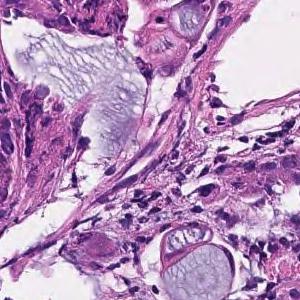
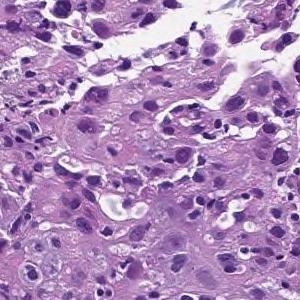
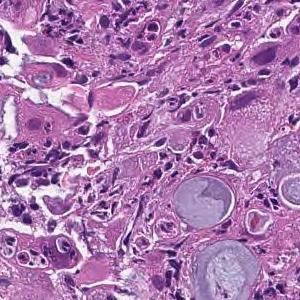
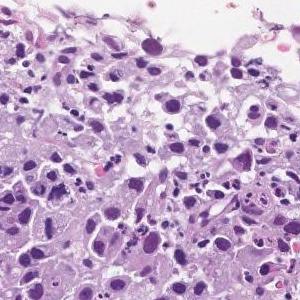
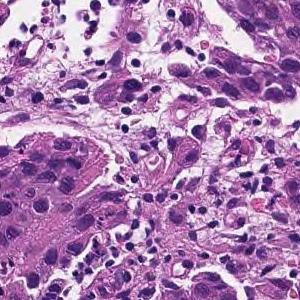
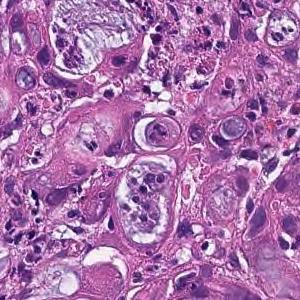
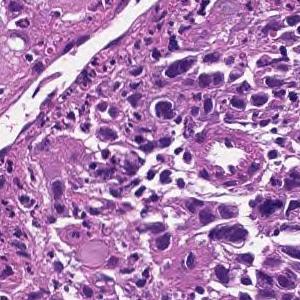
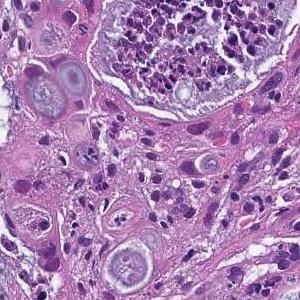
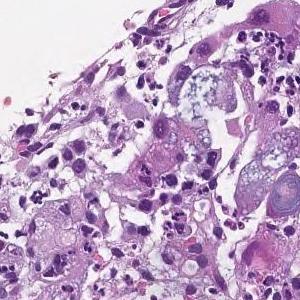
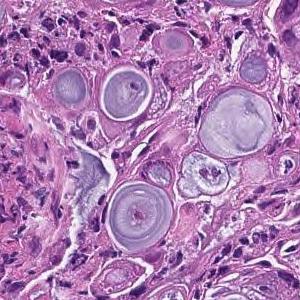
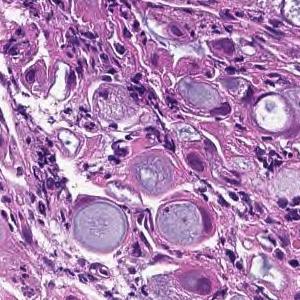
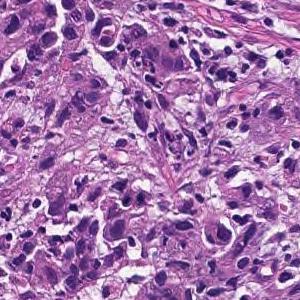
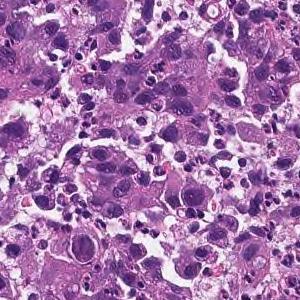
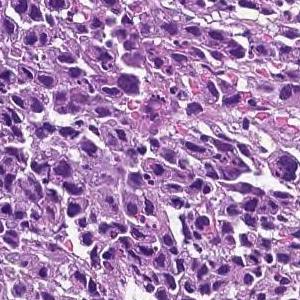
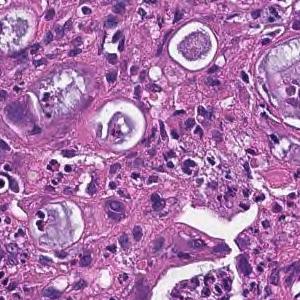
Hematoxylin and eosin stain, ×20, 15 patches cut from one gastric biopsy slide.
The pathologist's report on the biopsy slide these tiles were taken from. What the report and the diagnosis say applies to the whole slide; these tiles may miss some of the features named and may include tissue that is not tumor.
The superficial epithelium shows a large sheet-like shape, and some tumor tissue infiltrates with small irregular ducts. Poorly differentiated adenocarcinoma, solid-type
Histologic type: Poorly differentiated adenocarcinoma, solid type, a category of the Japanese Classification of Gastric Carcinoma; in the WHO 2019 classification it is tubular adenocarcinoma, poorly differentiated.
